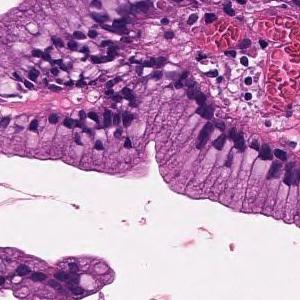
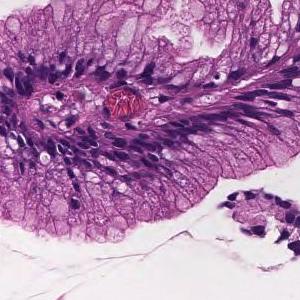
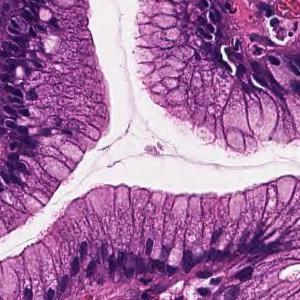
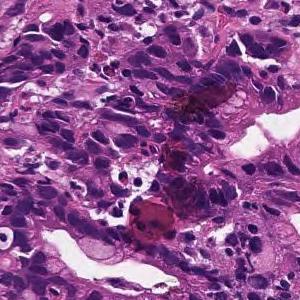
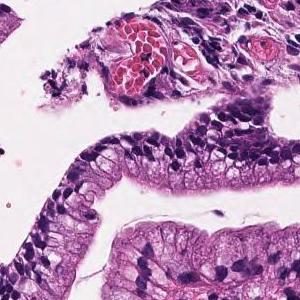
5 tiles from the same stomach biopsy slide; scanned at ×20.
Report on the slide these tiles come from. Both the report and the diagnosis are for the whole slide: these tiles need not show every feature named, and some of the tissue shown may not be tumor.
On the superficial epithelium, tumor tissue consisting of medium-sized and irregular glandular ducts partially fused and infiltrated is observed. Well to moderately differentiated tubular adenocarcinoma (well differentiated tubular adenocarcinoma-moderately differentiated tubular adenocarcinoma)
Tumor subtype: well to moderately differentiated tubular adenocarcinoma.
